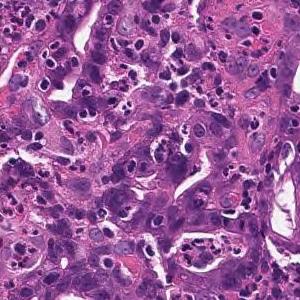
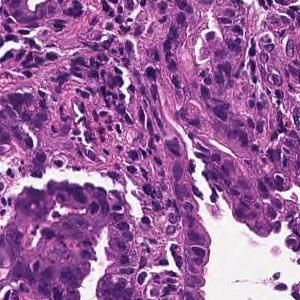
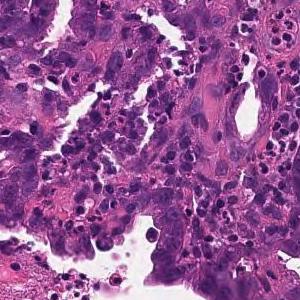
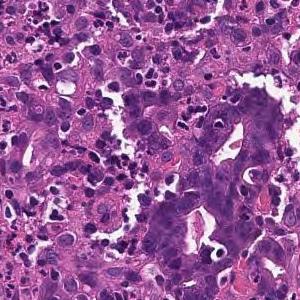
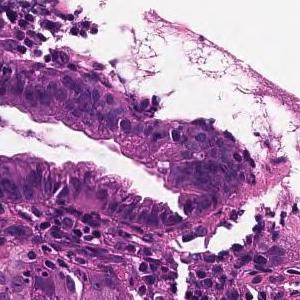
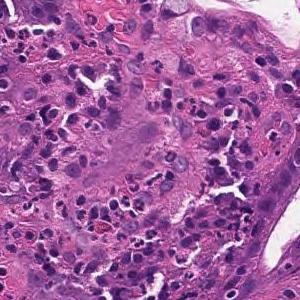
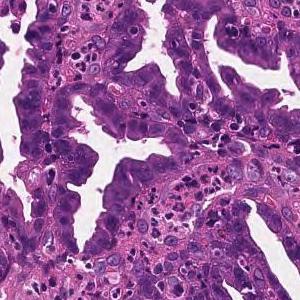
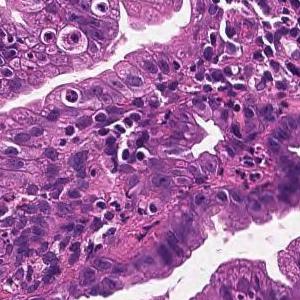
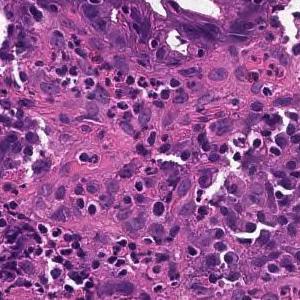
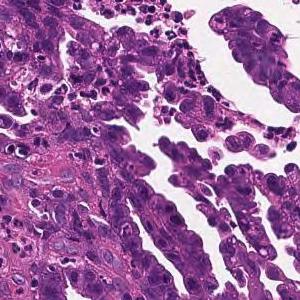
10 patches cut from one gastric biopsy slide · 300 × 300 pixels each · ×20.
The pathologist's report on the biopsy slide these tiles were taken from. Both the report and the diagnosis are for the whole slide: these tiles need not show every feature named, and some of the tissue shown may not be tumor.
From the superficial epithelium to the muscularis mucosae, tumor tissue consisting of medium-sized and irregular glandular ducts infiltrating is observed. Well differentiated tubular adenocarcinoma
